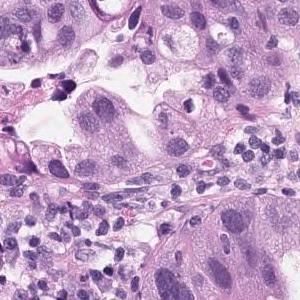
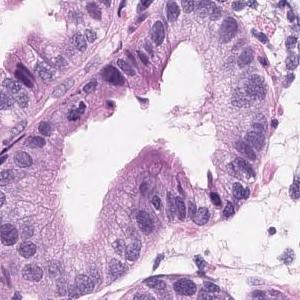
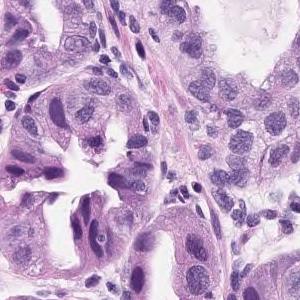
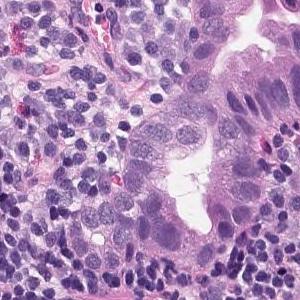
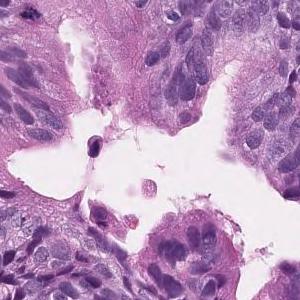
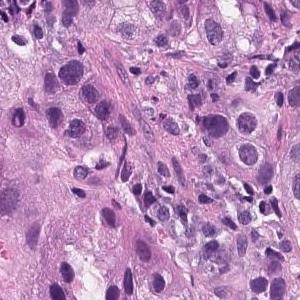
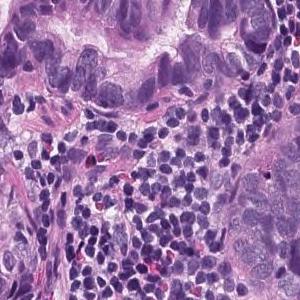
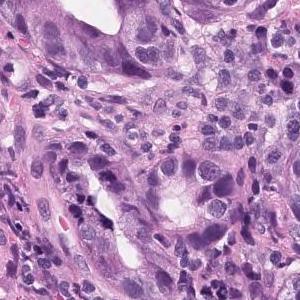
H&E stain, 8 tiles from the same stomach biopsy slide, 300×300 px each.
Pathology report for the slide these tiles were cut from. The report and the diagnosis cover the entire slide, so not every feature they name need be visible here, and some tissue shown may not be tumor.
Tumor tissue consisting of medium-sized and irregular ducts is observed infiltrating in the superficial epithelium. Tumor cells are highly columnar, with nuclei aligned basolaterally and polarized. Well differentiated tubular adenocarcinoma.
